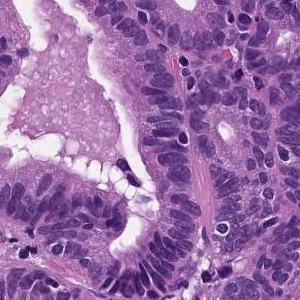
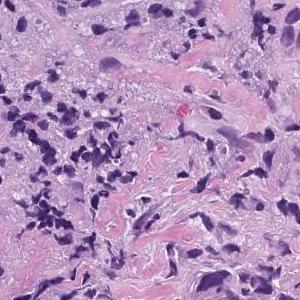
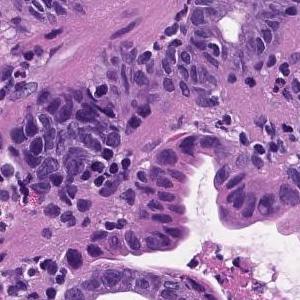
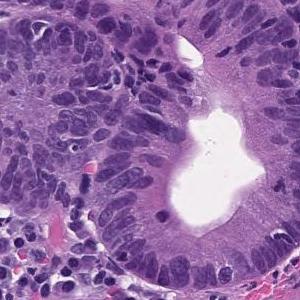
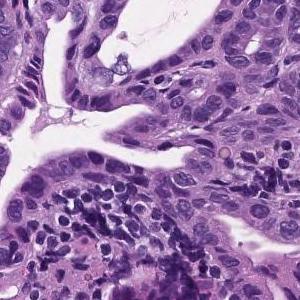
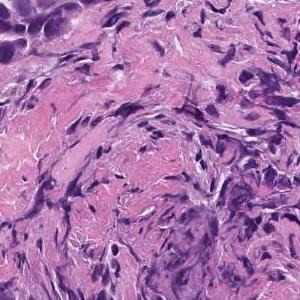
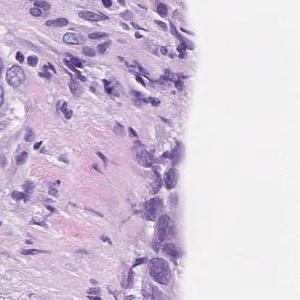
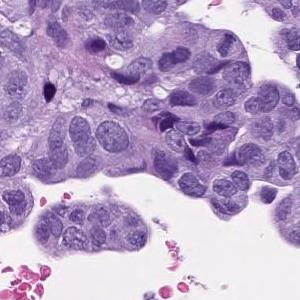
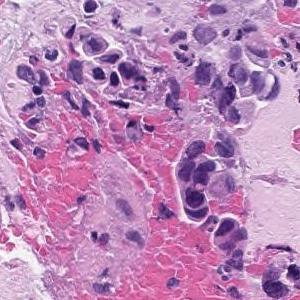
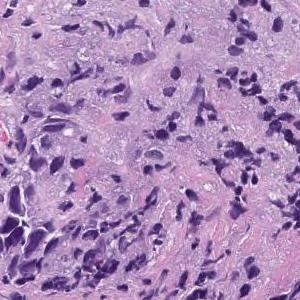
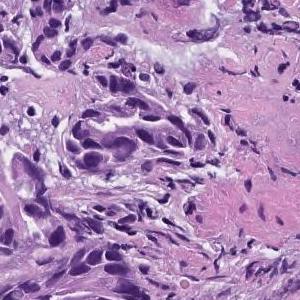
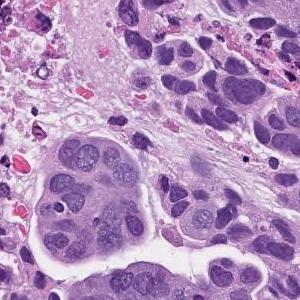
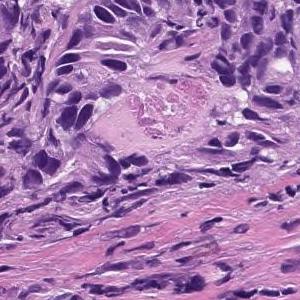
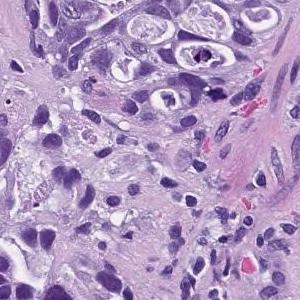
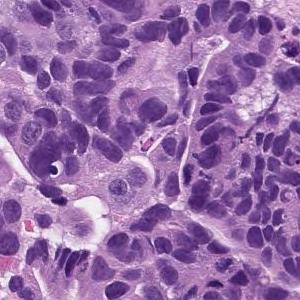
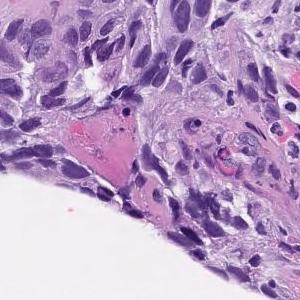
H&E stain, 20× magnification, 16 tiles cut from one stomach biopsy slide, 300×300 px each.
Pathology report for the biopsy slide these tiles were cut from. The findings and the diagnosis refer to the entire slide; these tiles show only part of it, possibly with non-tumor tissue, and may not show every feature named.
In the superficial epithelium, tumor tissue that invades by forming medium-sized to small, irregular ducts is observed. moderately differentiated tubular adenocarcinoma.
